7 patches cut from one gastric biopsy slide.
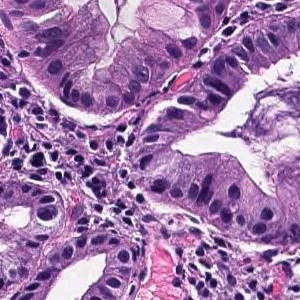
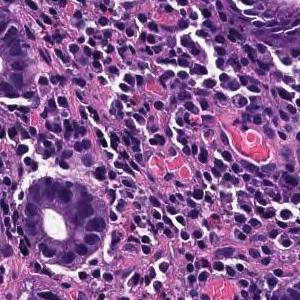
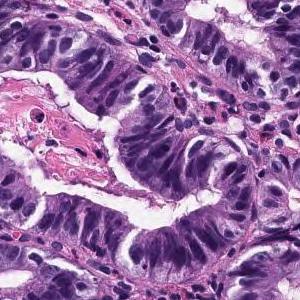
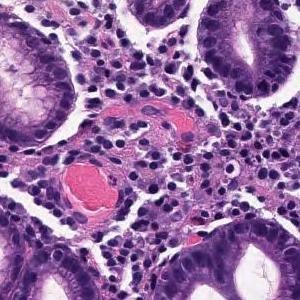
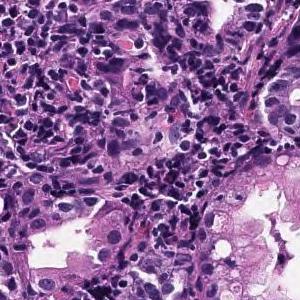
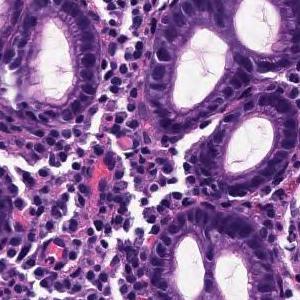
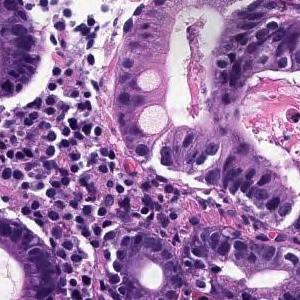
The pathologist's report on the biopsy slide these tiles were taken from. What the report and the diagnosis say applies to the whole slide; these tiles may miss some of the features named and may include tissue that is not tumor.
Tumor tissue consisting of medium-sized and irregular ducts is observed infiltrating in the superficial epithelium. Tumor cells are highly columnar, with nuclei aligned basolaterally and polarized. Well differentiated tubular adenocarcinoma.
